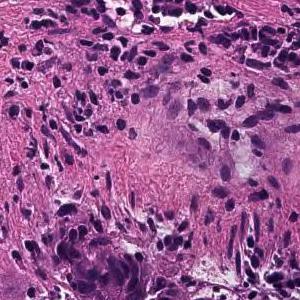
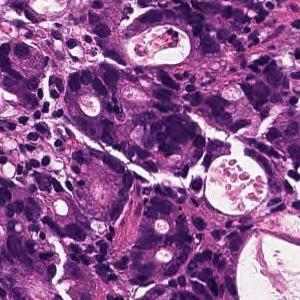
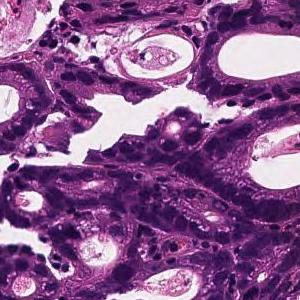
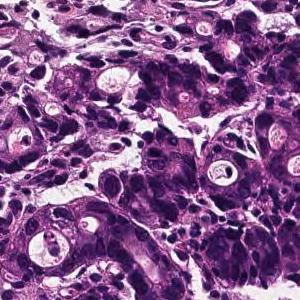
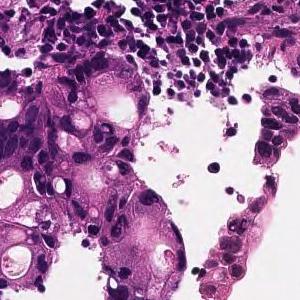
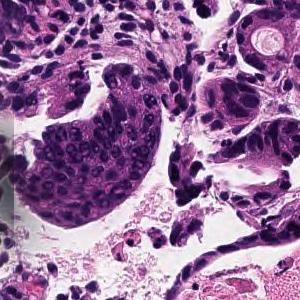
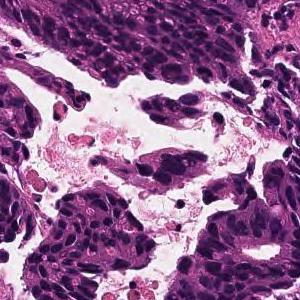
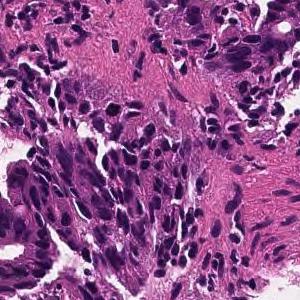
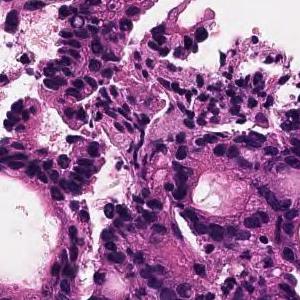
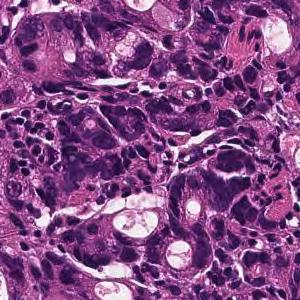
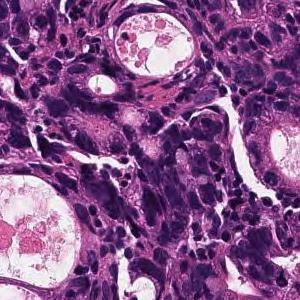
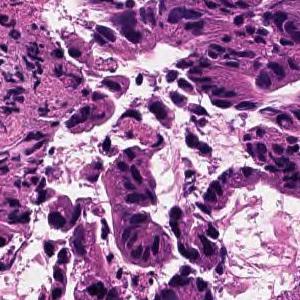
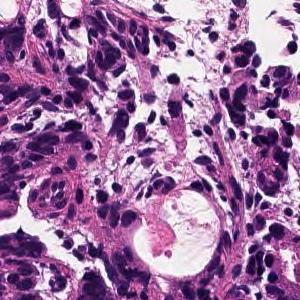
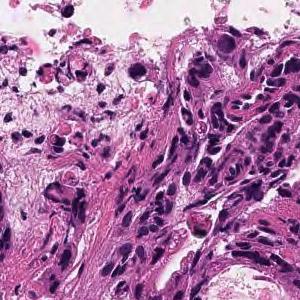
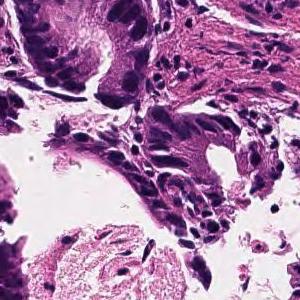
15 image tiles from a single gastric biopsy slide; hematoxylin and eosin stain.
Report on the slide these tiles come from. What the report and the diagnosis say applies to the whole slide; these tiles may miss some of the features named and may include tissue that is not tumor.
In the superficial epithelium, tumor tissue that invades by forming medium-sized to small, irregular ducts is observed. moderately differentiated tubular adenocarcinoma.
